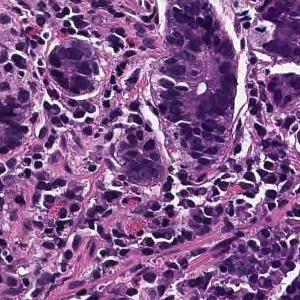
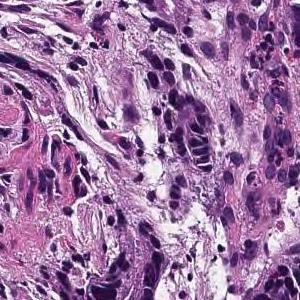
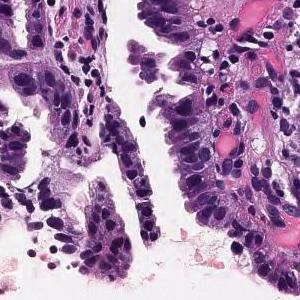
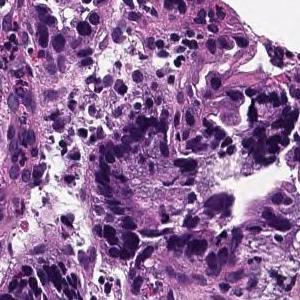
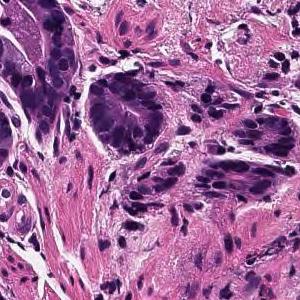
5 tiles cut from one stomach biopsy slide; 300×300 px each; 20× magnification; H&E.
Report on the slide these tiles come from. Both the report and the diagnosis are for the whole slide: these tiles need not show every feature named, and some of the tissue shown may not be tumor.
From the superficial epithelium to the muscularis mucosae, tumor tissue consisting of medium-sized and irregular glandular ducts infiltrating is observed. Well differentiated tubular adenocarcinoma
